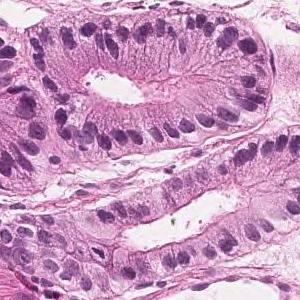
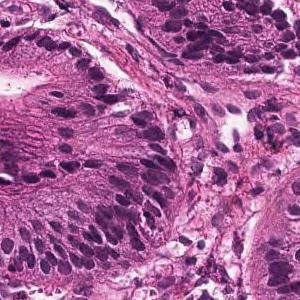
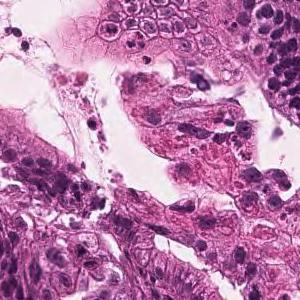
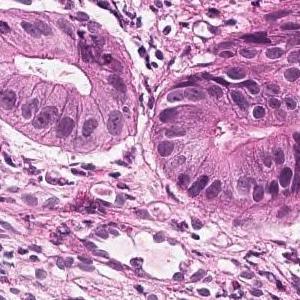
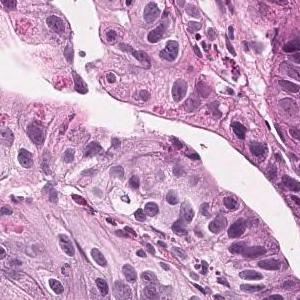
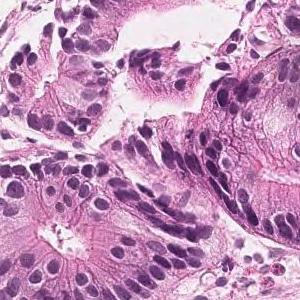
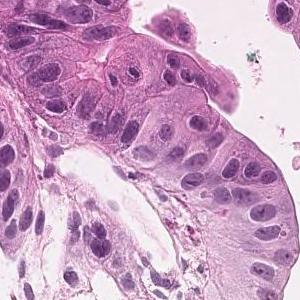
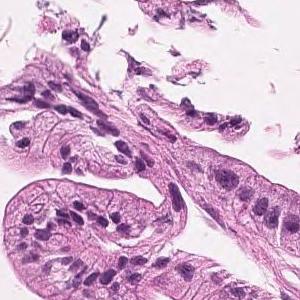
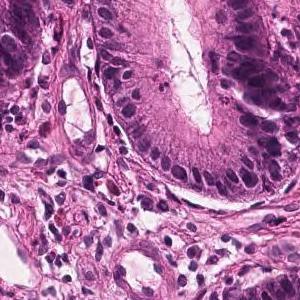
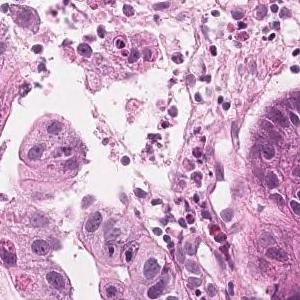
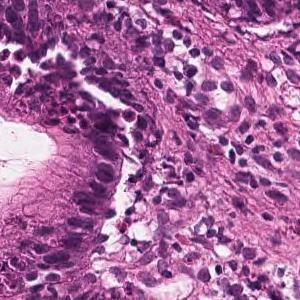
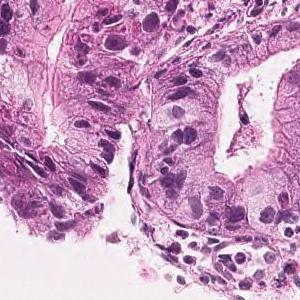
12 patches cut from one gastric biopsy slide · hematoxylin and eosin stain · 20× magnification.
Diagnostic report for the slide these tiles come from. The report describes the whole slide, diagnosis included: not every finding it names need appear in these tiles, which may also show non-tumor tissue.
Tumor tissue consisting of medium-sized and irregular ducts is observed infiltrating in the superficial epithelium. Tumor cells are highly columnar, with nuclei aligned basolaterally and polarized. Well differentiated tubular adenocarcinoma.
